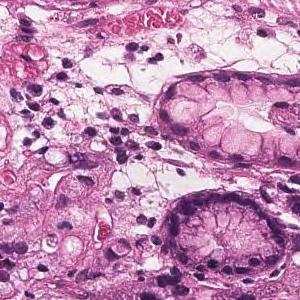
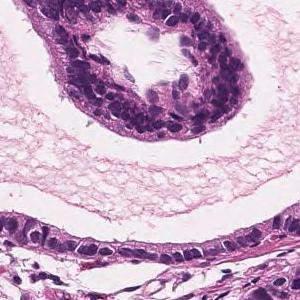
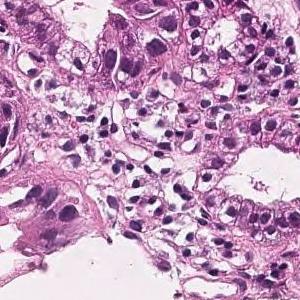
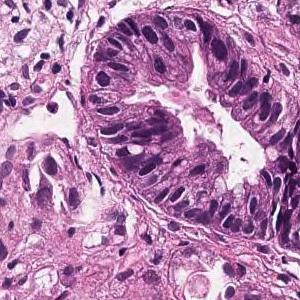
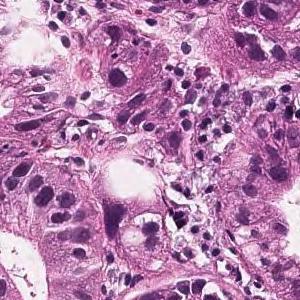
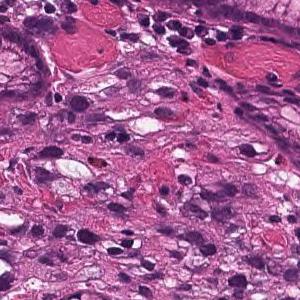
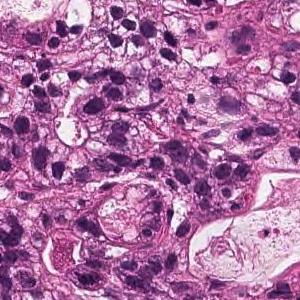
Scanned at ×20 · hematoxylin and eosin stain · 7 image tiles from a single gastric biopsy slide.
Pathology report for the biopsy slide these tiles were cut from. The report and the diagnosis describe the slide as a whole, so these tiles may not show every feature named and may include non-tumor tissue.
Medium to small, irregular glandular ducts are formed in the superficial epithelium, and in some cases, the glandular ducts are fused to show solid alveolar lesions and infiltrating tumor tissue is observed. Moderately to poorly differentiated adenocarcinoma.
